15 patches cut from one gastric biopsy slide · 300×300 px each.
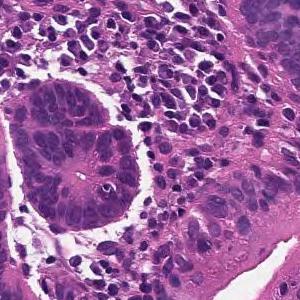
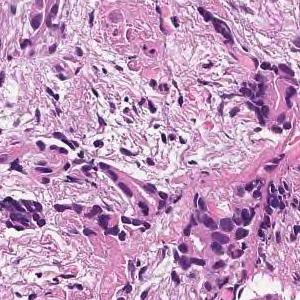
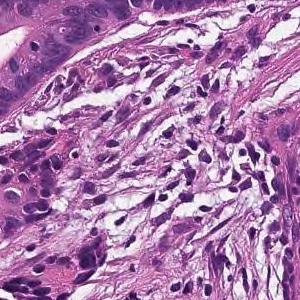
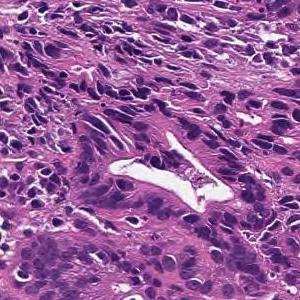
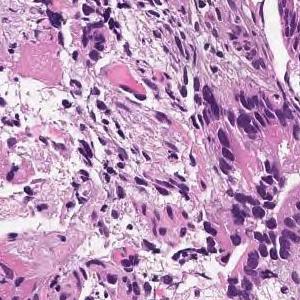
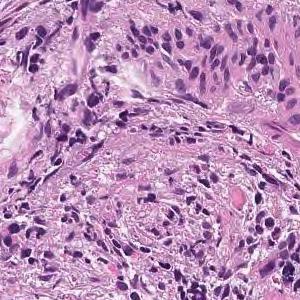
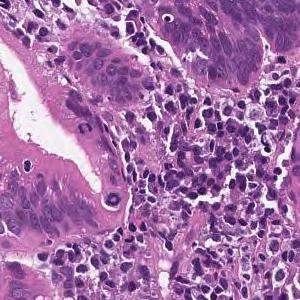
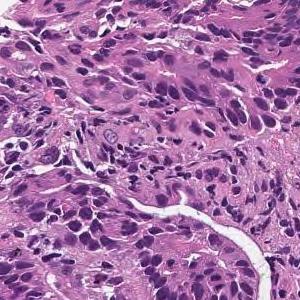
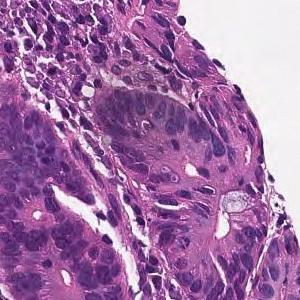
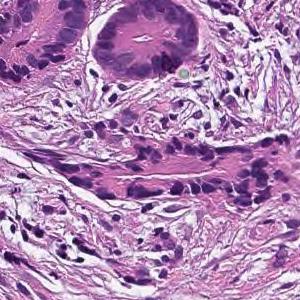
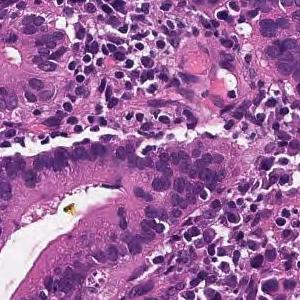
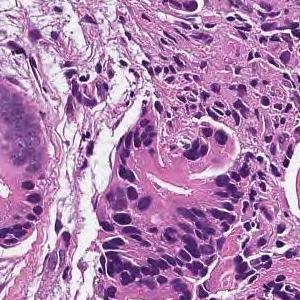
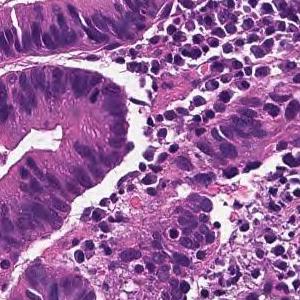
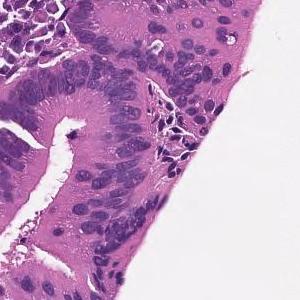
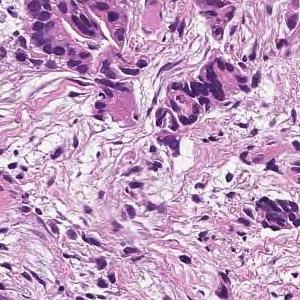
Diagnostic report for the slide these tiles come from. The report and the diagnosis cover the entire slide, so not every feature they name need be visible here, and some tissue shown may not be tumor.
From the superficial epithelium to the muscularis mucosae, tumor tissue consisting of medium-sized and irregular glandular ducts infiltrating is observed. Well differentiated tubular adenocarcinoma
